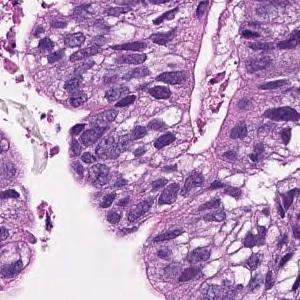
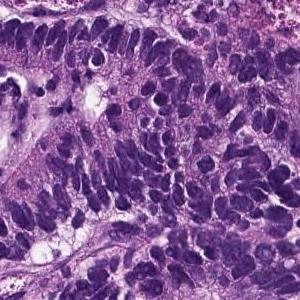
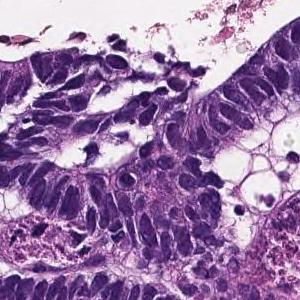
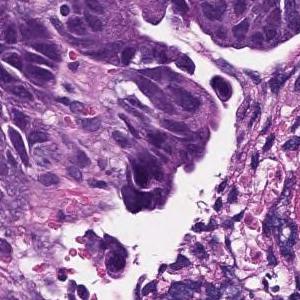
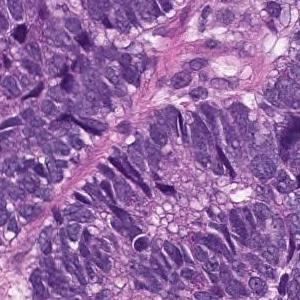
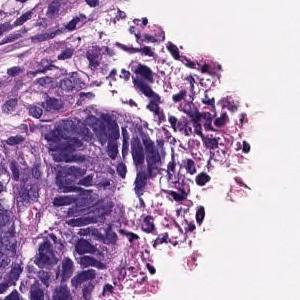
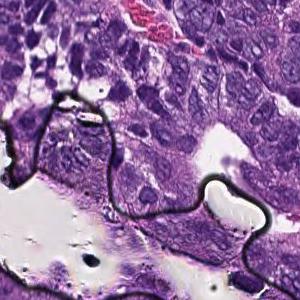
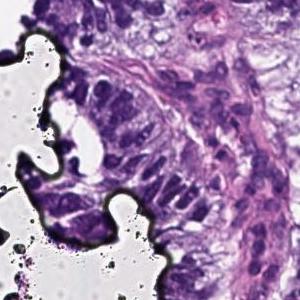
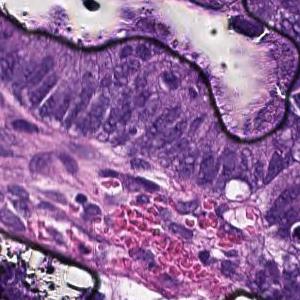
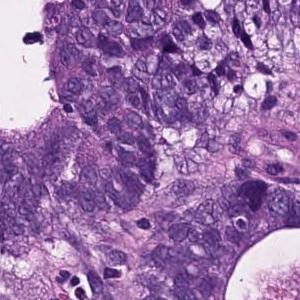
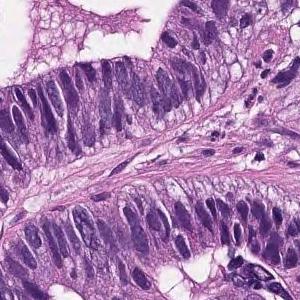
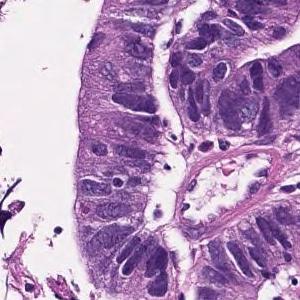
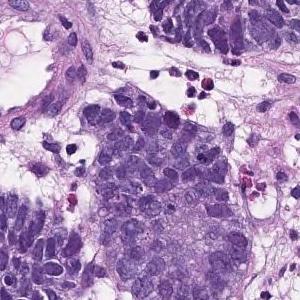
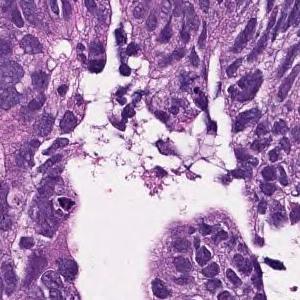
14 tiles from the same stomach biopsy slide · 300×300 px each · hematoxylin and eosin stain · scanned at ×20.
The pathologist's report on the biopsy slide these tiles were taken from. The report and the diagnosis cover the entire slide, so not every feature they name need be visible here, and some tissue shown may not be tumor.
In the superficial epithelium, tumor tissue that invades by forming medium-sized to small, irregular ducts is observed. moderately differentiated tubular adenocarcinoma.
